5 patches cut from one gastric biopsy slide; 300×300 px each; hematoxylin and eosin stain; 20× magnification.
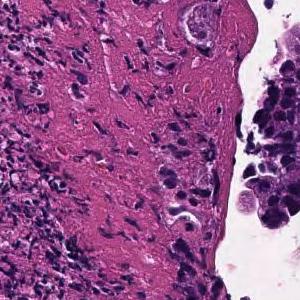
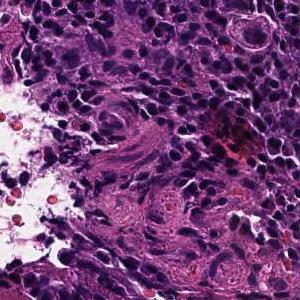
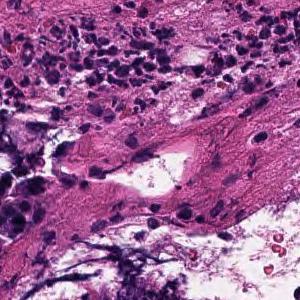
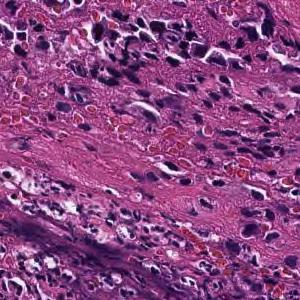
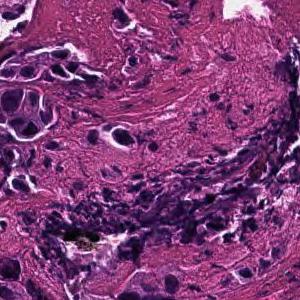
Pathology report for the biopsy slide these tiles were cut from. What the report and the diagnosis say applies to the whole slide; these tiles may miss some of the features named and may include tissue that is not tumor.
Tumor tissue consisting of cord-like or small, irregular glandular ducts fused and infiltrated is observed in the superficial epithelium. Poorly differentiated adenocarcinoma, non-solid type
The non-solid type named here is a Japanese Classification of Gastric Carcinoma category.
